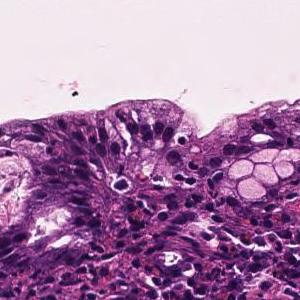
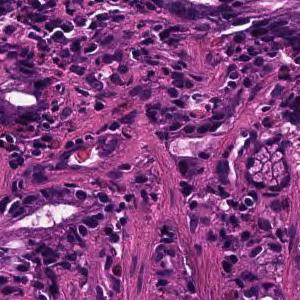
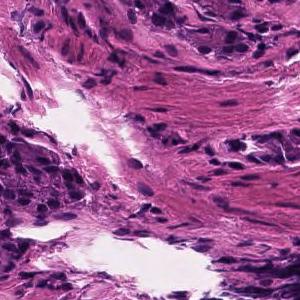
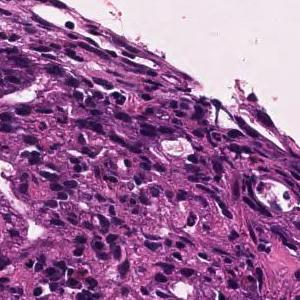
4 image tiles from a single gastric biopsy slide, scanned at ×20, H&E stain.
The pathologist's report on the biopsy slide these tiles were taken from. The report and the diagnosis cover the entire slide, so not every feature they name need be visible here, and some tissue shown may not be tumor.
In the superficial epithelium, tumor tissue that invades by forming medium-sized to small, irregular ducts is observed. moderately differentiated tubular adenocarcinoma.
